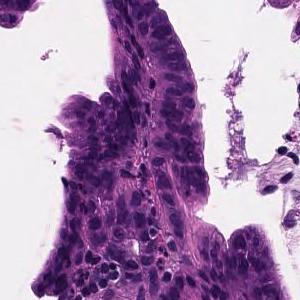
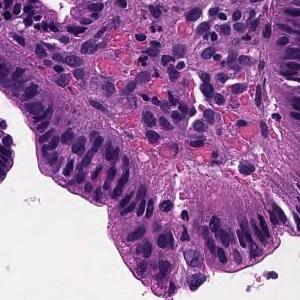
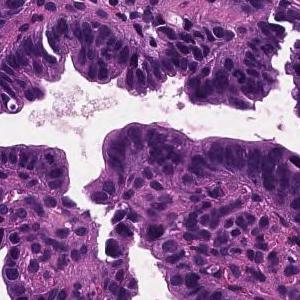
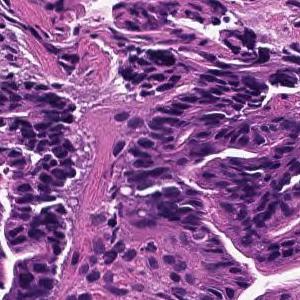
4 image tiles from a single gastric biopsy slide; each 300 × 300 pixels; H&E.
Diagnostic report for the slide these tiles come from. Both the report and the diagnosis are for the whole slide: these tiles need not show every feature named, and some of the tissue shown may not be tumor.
Tumor tissue consisting of large papillary structures is found in the superficial epithelium. Papillary adenocarcinoma.
